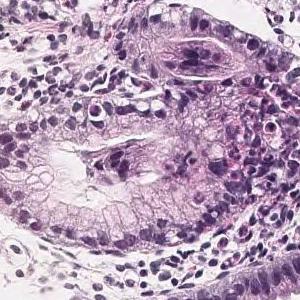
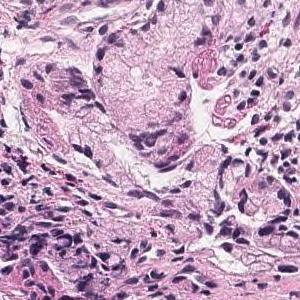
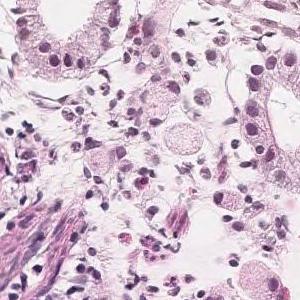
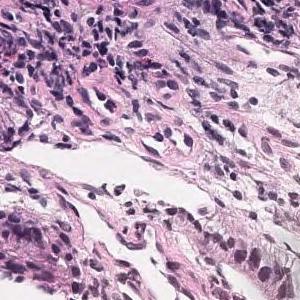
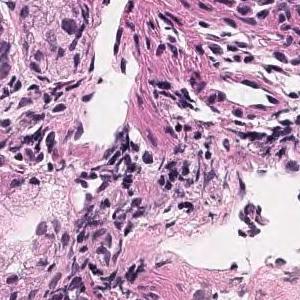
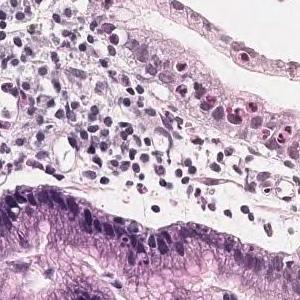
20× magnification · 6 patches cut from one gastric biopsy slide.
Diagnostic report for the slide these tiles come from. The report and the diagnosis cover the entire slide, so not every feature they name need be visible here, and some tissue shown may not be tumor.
Tumor tissue is observed in which atypical epithelial cells with mucus in the vesicles proliferate while being isolated. Signet ring cell carcinoma
